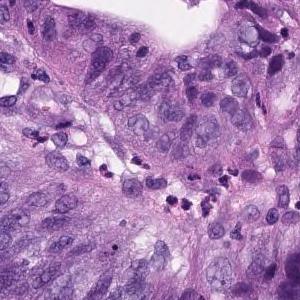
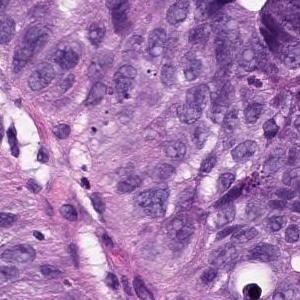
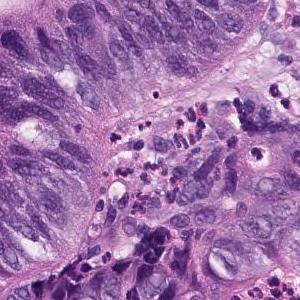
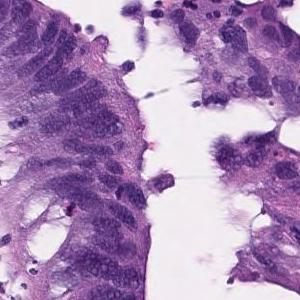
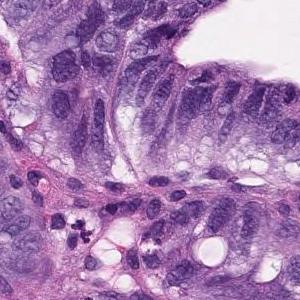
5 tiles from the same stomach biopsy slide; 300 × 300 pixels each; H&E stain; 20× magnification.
The pathologist's report on the biopsy slide these tiles were taken from. The findings and the diagnosis refer to the entire slide; these tiles show only part of it, possibly with non-tumor tissue, and may not show every feature named.
In the superficial epithelium, tumor tissue that invades by forming medium-sized to small, irregular ducts is observed. Moderately differentiated adenocarcinoma.
Histologic type: Moderately differentiated tubular adenocarcinoma.
